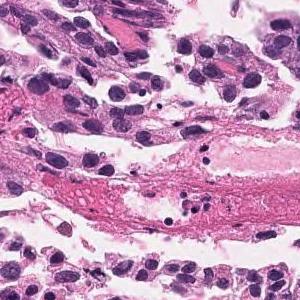
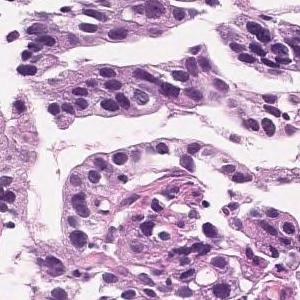
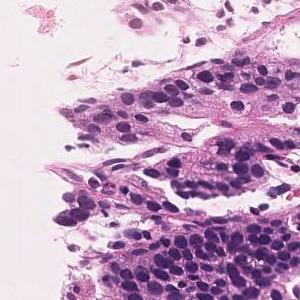
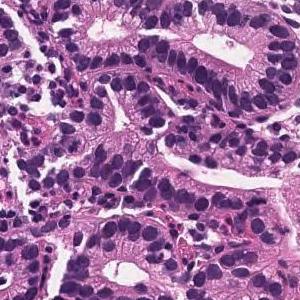
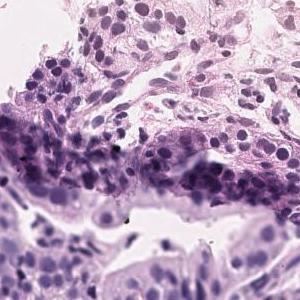
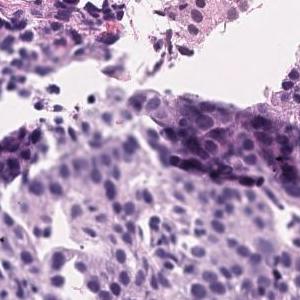
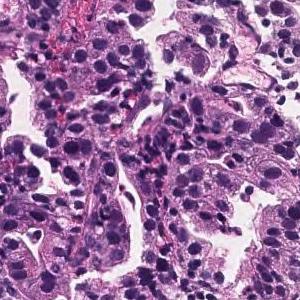
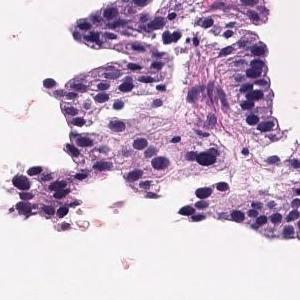
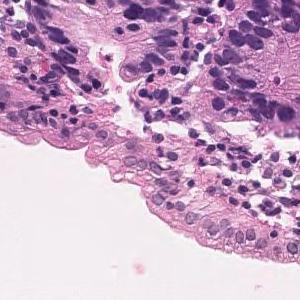
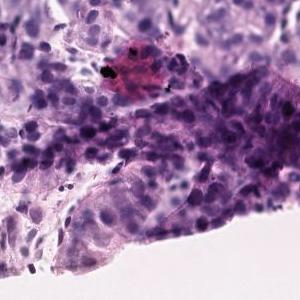
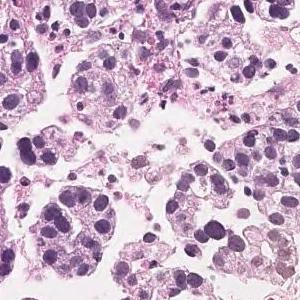
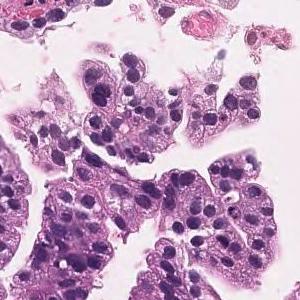
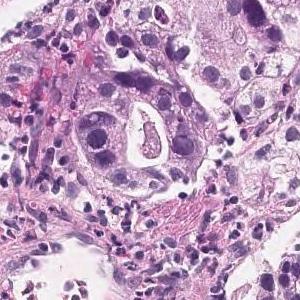
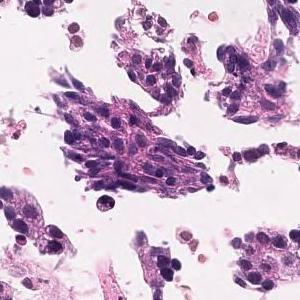
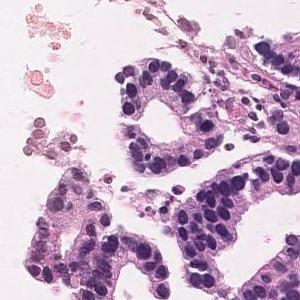
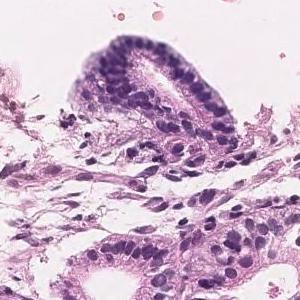
H&E, 16 image tiles from a single gastric biopsy slide.
Report on the slide these tiles come from. The findings and the diagnosis refer to the entire slide; these tiles show only part of it, possibly with non-tumor tissue, and may not show every feature named.
In the superficial epithelium, tumor tissue that invades by forming medium-sized to small, irregular ducts is observed. moderately differentiated tubular adenocarcinoma.
